13 tiles cut from one stomach biopsy slide; 300 × 300 pixels each; H&E; scanned at ×20.
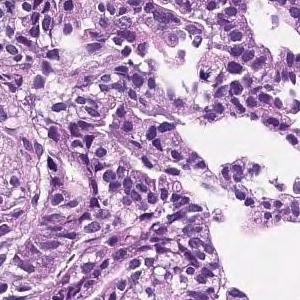
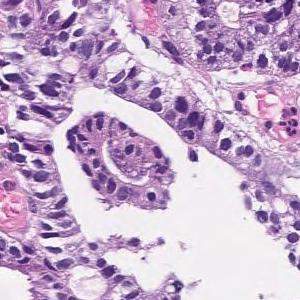
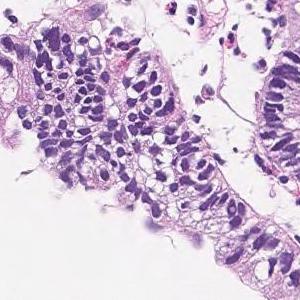
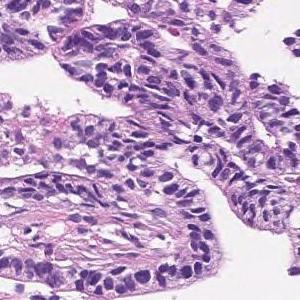
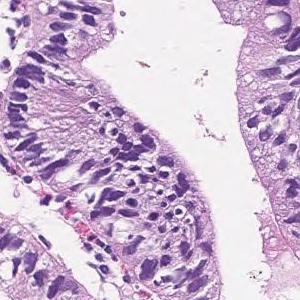
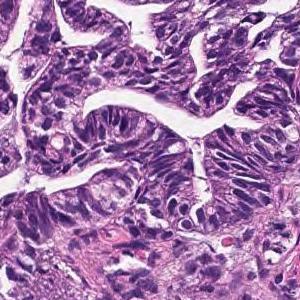
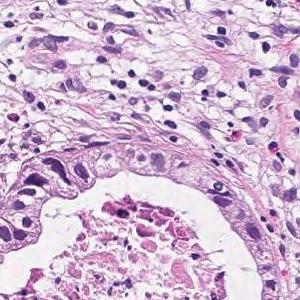
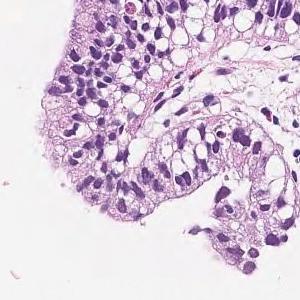
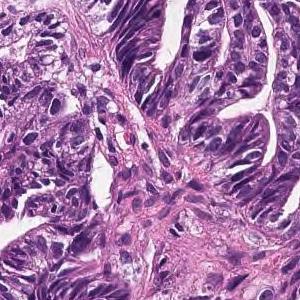
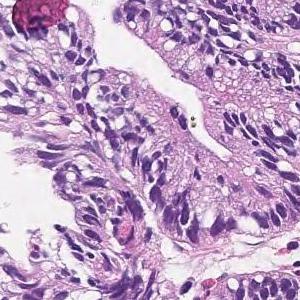
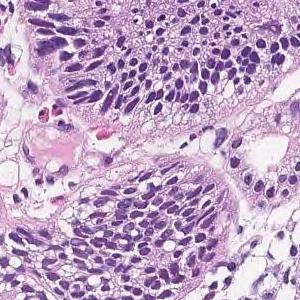
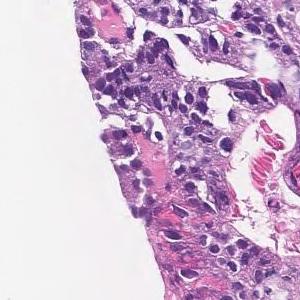
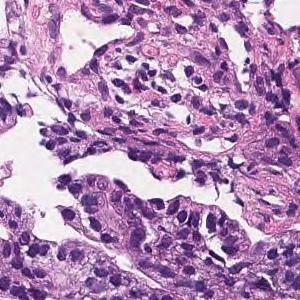
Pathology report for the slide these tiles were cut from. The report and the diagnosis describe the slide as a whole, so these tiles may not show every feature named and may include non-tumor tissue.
In the superficial epithelium, tumor tissue that invades by forming medium-sized to small, irregular ducts is observed. Moderately differentiated adenocarcinoma.
Histologic type: Moderately differentiated tubular adenocarcinoma.
